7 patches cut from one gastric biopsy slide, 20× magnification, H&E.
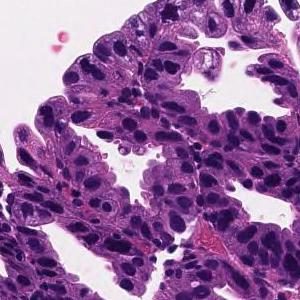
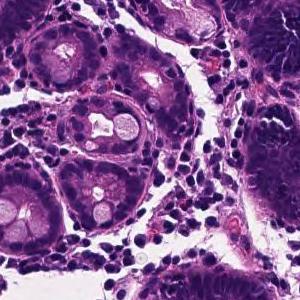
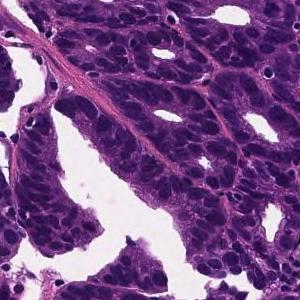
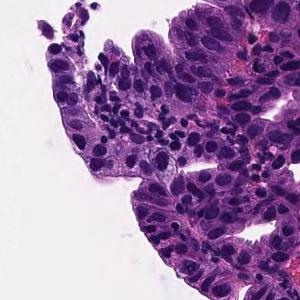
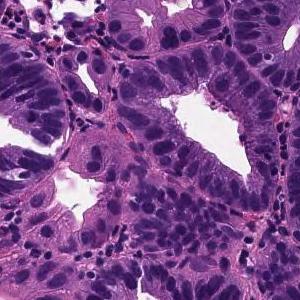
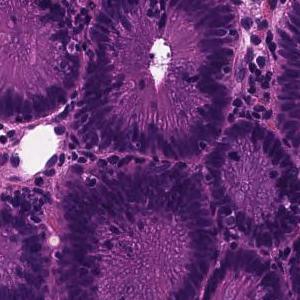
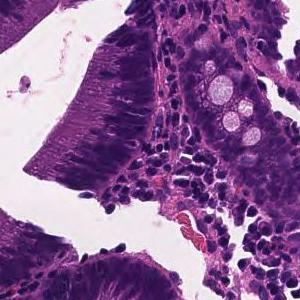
Report on the slide these tiles come from. The findings and the diagnosis refer to the entire slide; these tiles show only part of it, possibly with non-tumor tissue, and may not show every feature named.
Tumor tissue in which medium to small irregular ducts infiltrate and proliferate in the submucosa can be seen in the epithelium. Well differentiated tubular adenocarcinoma
